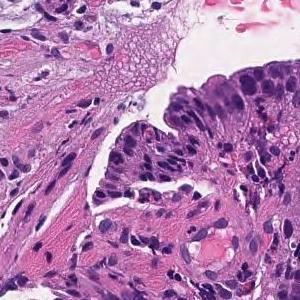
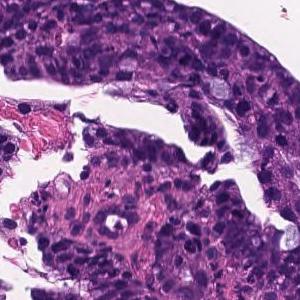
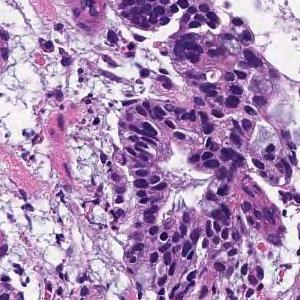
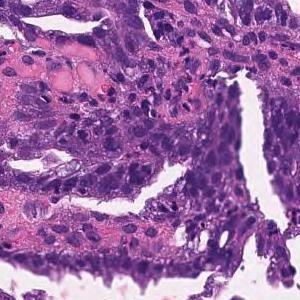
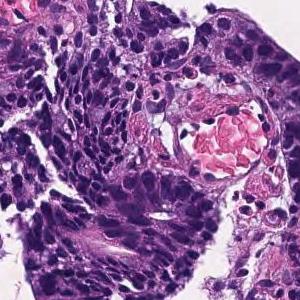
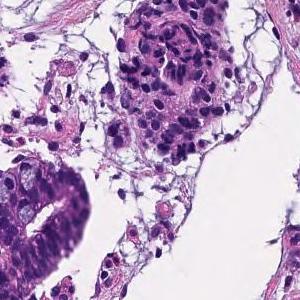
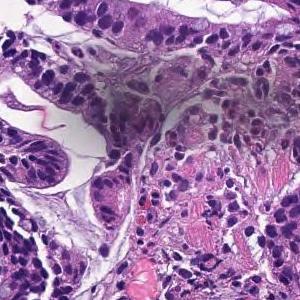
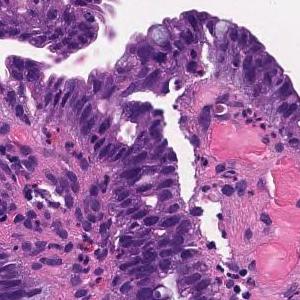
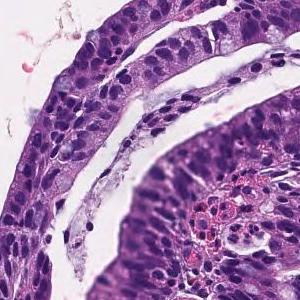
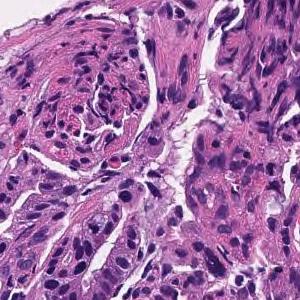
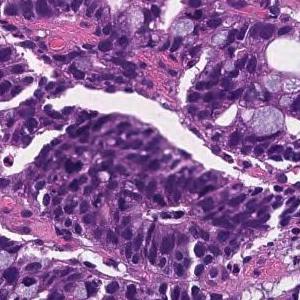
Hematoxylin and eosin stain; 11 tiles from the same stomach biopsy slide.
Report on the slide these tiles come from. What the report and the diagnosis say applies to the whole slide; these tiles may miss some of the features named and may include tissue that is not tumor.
Tumor cells are large, highly columnar, large club-shaped nuclei, and are associated with chromatin aggregation. Papillary adenocarcinoma.
